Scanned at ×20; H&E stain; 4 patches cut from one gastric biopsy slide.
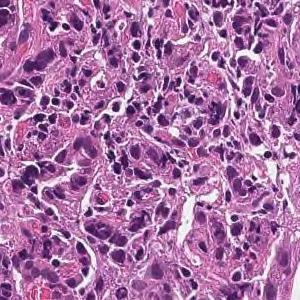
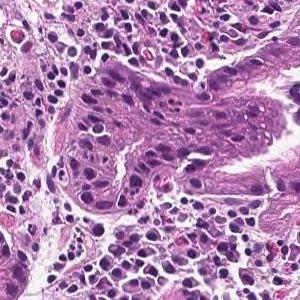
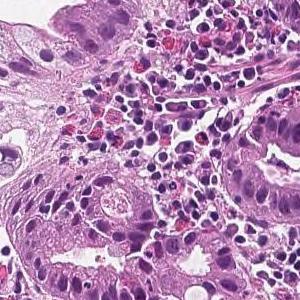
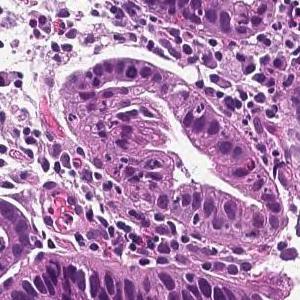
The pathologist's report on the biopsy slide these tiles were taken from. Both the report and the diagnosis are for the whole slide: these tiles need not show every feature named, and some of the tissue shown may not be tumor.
On the superficial epithelium, tumor tissue consisting of large irregular glandular ducts partially fused and infiltrated is observed. Well to moderately differentiated tubular adenocarcinoma (well differentiated tubular adenocarcinoma, moderately differentiated tubular adenocarcinoma)
Tumor subtype: well to moderately differentiated tubular adenocarcinoma.
